13 tiles from the same stomach biopsy slide; scanned at ×20; H&E.
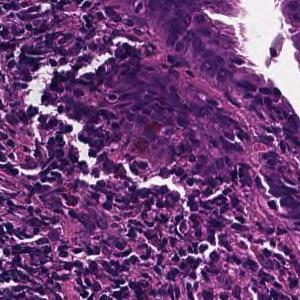
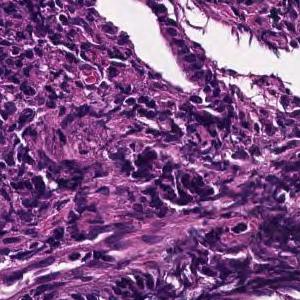
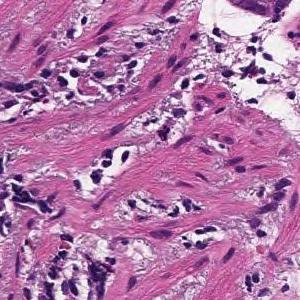
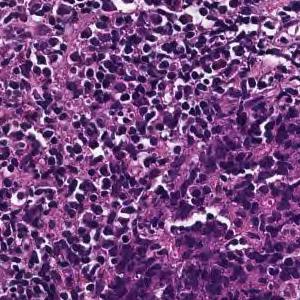
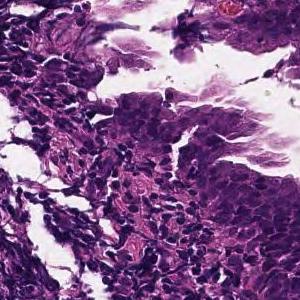
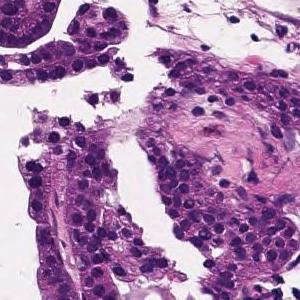
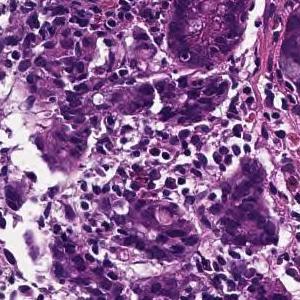
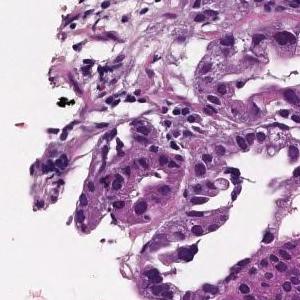
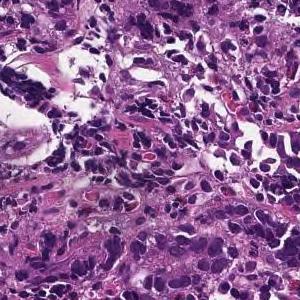
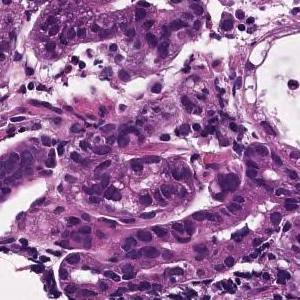
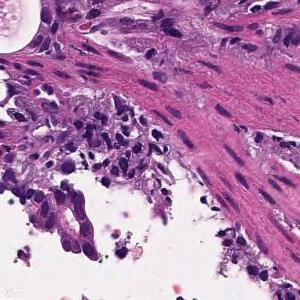
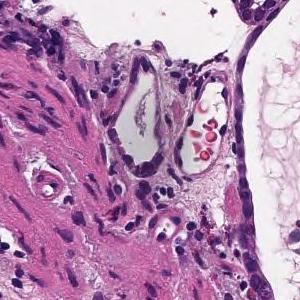
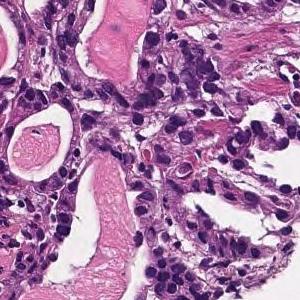
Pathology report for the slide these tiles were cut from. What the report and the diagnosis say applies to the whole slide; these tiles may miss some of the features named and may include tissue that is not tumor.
Tumor tissue consisting of medium-sized, cord-like or irregular glandular infiltration is observed in the superficial epithelium. Poorly differentiated adenocarcinoma, non-solid type or moderately differentiated tubular adenocarcinoma
Histologic type: Moderately to poorly differentiated adenocarcinoma.
The non-solid type named here is a Japanese Classification of Gastric Carcinoma category.
